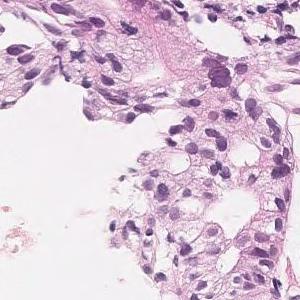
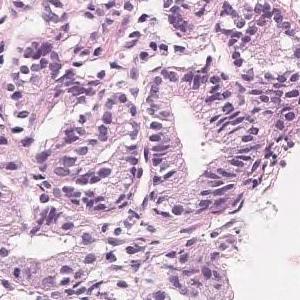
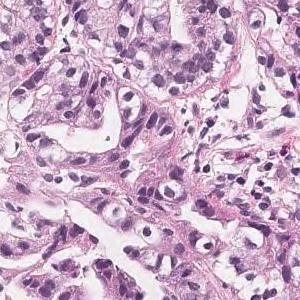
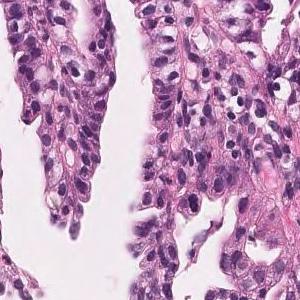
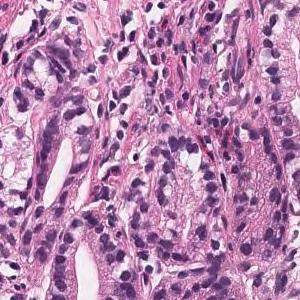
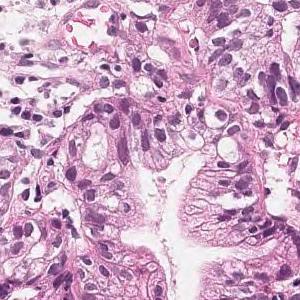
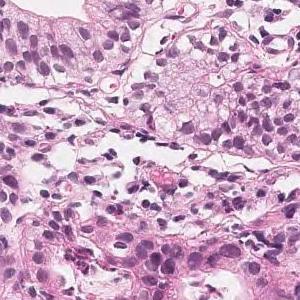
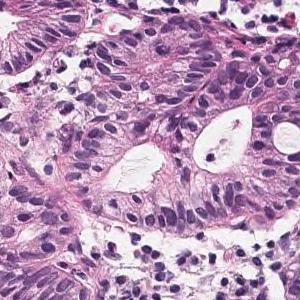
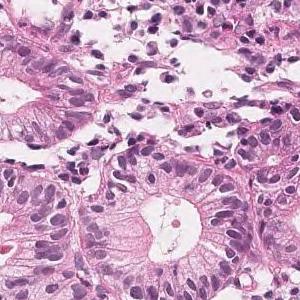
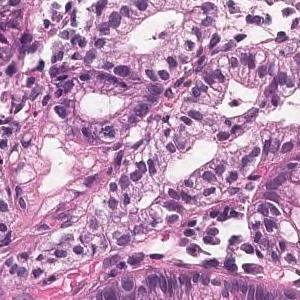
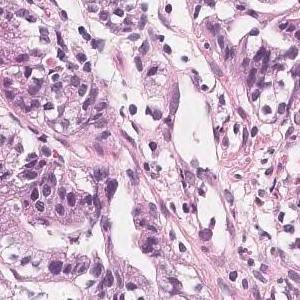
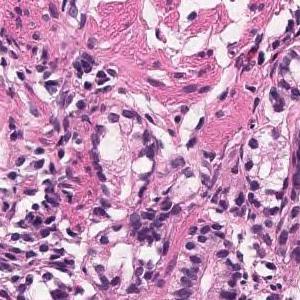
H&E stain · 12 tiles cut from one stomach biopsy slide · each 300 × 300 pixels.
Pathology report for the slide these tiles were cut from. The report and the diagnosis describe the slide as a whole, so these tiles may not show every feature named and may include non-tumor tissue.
Proliferation of atypical glandular ducts that fuse and show a sieving structure is observed. moderately differentiated tubular adenocarcinoma
